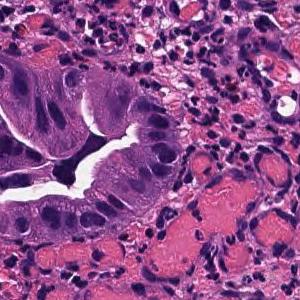
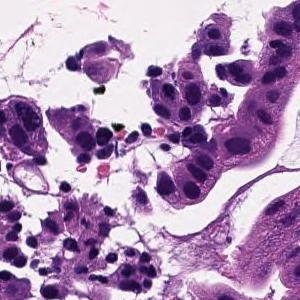
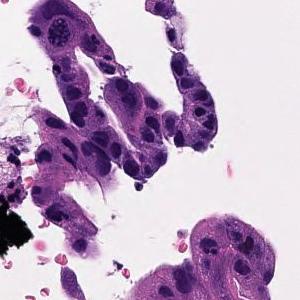
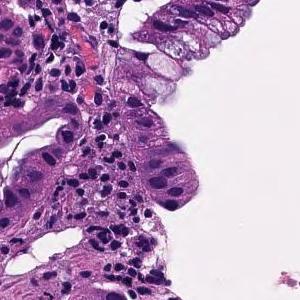
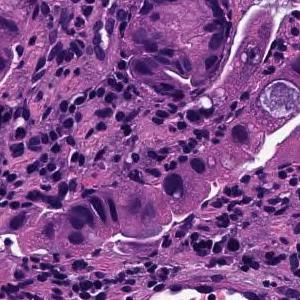
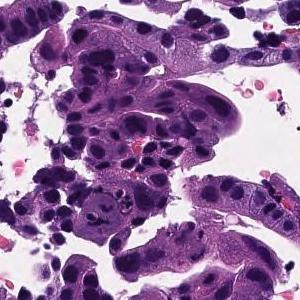
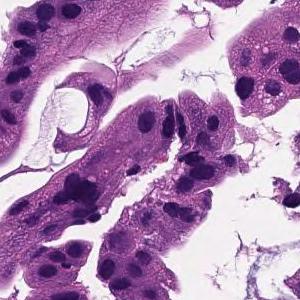
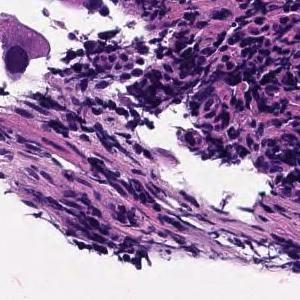
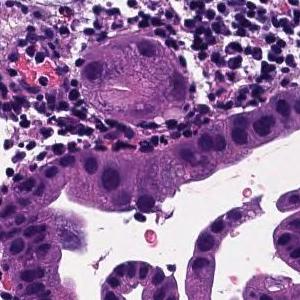
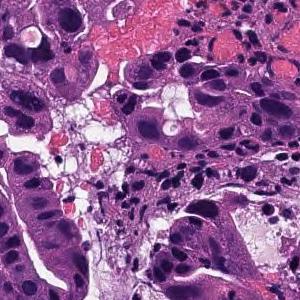
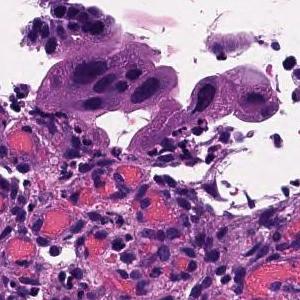
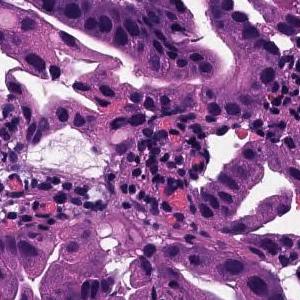
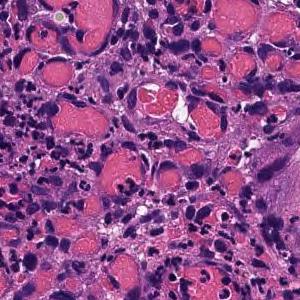
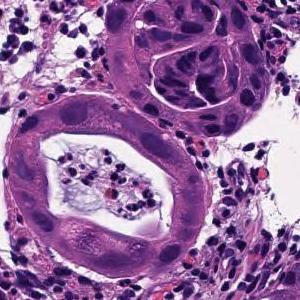
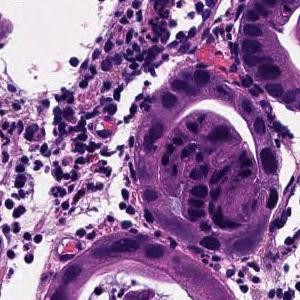
H&E stain; 15 tiles cut from one stomach biopsy slide.
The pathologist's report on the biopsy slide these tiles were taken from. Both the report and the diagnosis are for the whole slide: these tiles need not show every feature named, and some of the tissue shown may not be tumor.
Tumor tissue consisting of large papillary structures is found in the superficial epithelium. Papillary adenocarcinoma.
